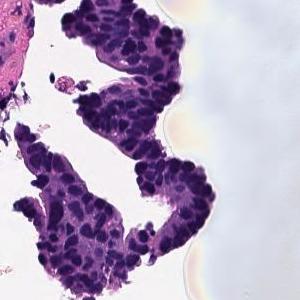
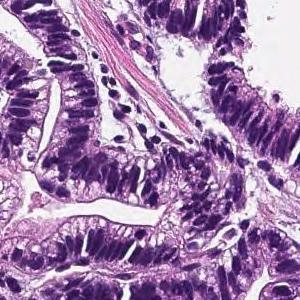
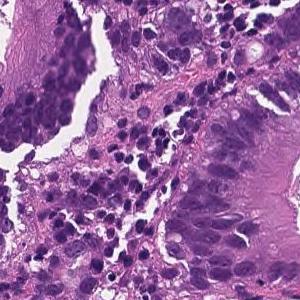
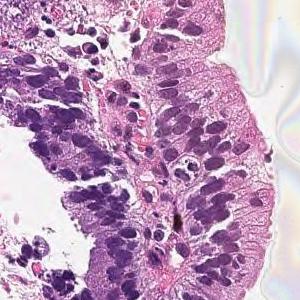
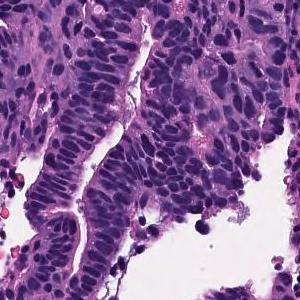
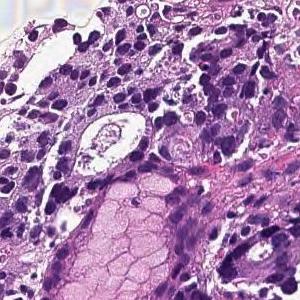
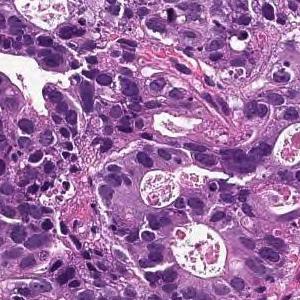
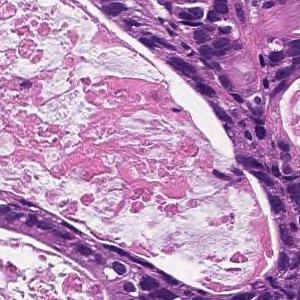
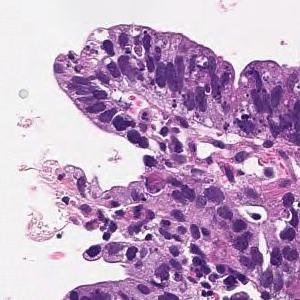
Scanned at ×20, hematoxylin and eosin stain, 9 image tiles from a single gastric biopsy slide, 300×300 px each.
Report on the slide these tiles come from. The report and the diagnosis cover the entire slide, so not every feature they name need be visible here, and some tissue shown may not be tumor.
In the superficial epithelium, tumor tissue that invades by forming medium-sized to small, irregular ducts is observed. moderately differentiated tubular adenocarcinoma.
